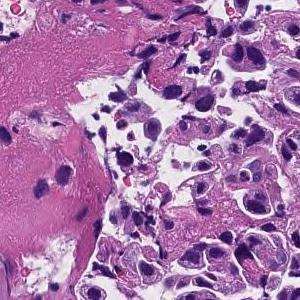
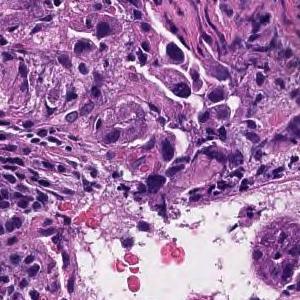
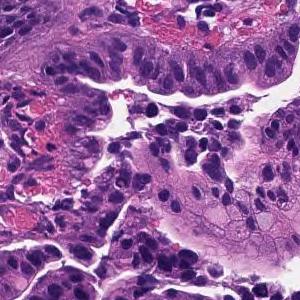
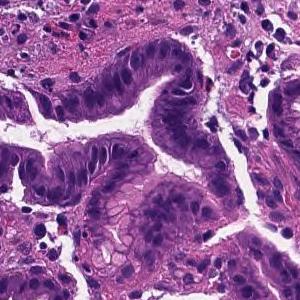
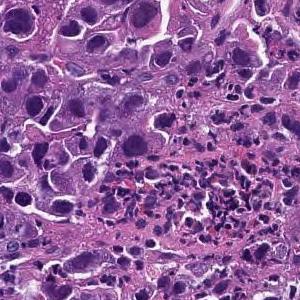
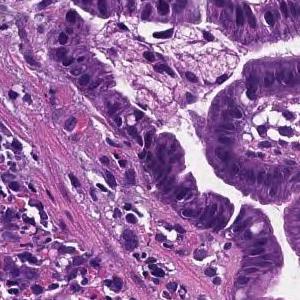
×20, H&E stain, 6 image tiles from a single gastric biopsy slide.
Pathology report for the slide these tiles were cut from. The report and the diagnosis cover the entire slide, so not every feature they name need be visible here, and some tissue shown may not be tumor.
Tumor tissue consisting of medium-sized, cord-like or irregular glandular infiltration is observed in the superficial epithelium. Poorly differentiated adenocarcinoma, non-solid type or moderately differentiated tubular adenocarcinoma
Subtype: Moderately to poorly differentiated adenocarcinoma.
The non-solid type named here is a Japanese Classification of Gastric Carcinoma category.
